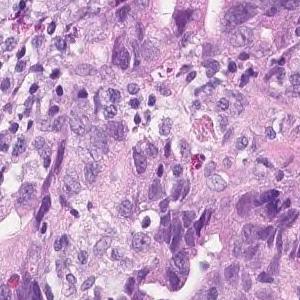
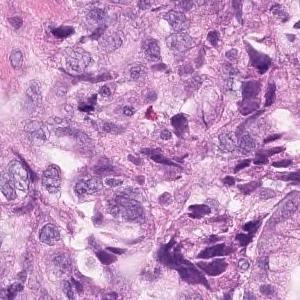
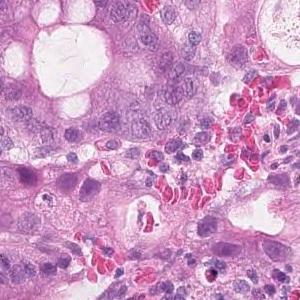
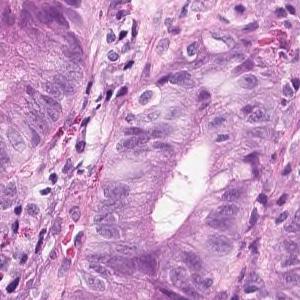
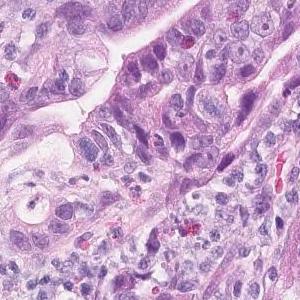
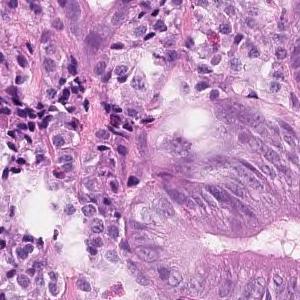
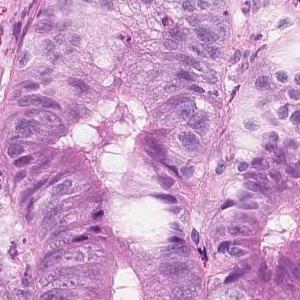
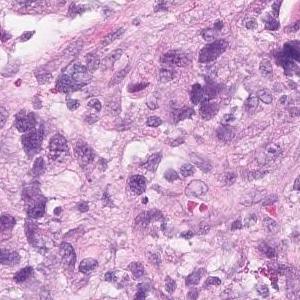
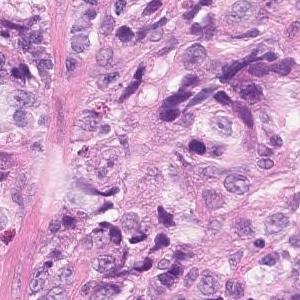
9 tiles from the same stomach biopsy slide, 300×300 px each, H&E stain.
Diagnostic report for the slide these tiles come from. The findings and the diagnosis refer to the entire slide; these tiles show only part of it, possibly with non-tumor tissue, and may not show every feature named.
Tumor tissue showing dense, fused or diffuse, and infiltrative growth of small atypical ducts is observed. moderately differentiated tubular adenocarcinoma
